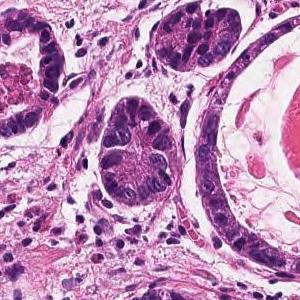
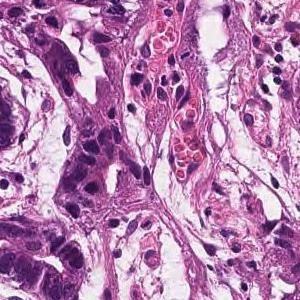
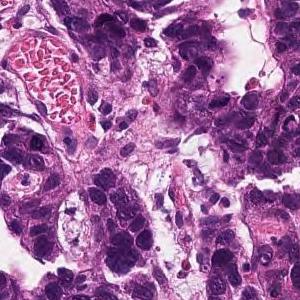
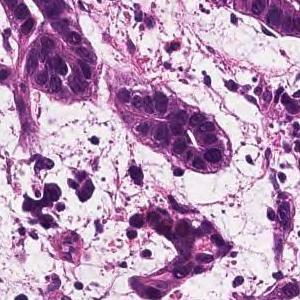
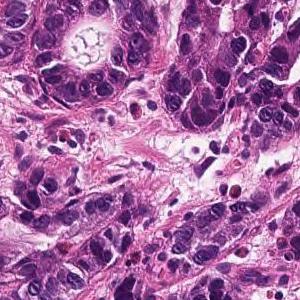
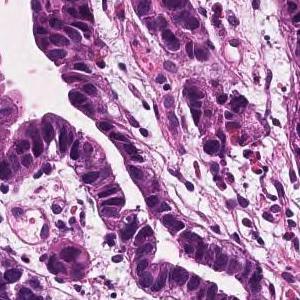
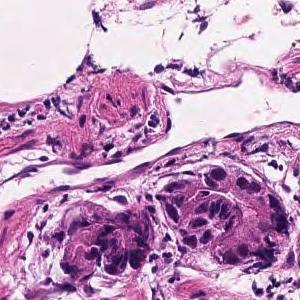
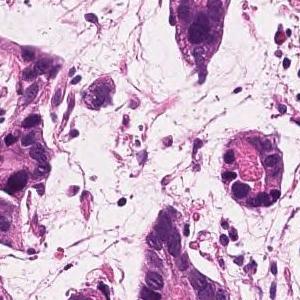
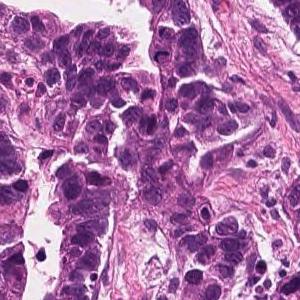
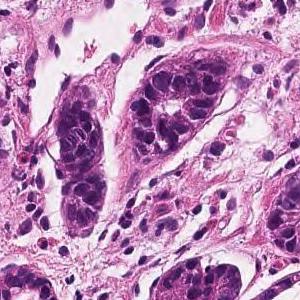
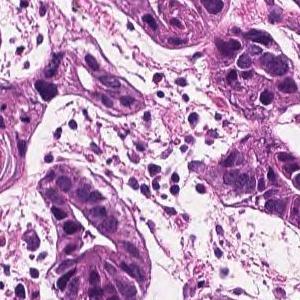
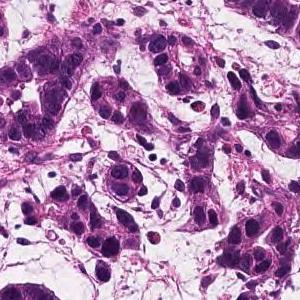
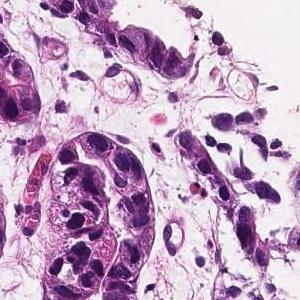
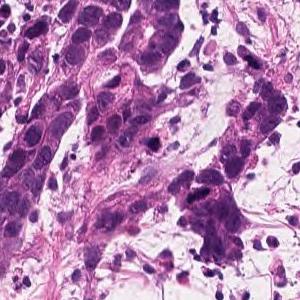
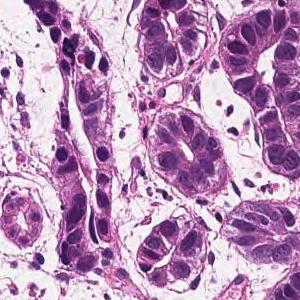
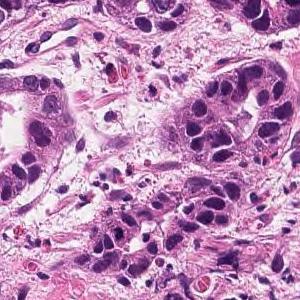
16 image tiles from a single gastric biopsy slide, 300 × 300 pixels each, hematoxylin and eosin stain.
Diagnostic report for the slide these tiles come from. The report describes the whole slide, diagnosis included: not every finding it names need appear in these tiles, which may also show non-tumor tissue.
In the superficial epithelium, tumor tissue that invades by forming medium-sized to small, irregular ducts is observed. Well differentiated tubular adenocarcinoma.
